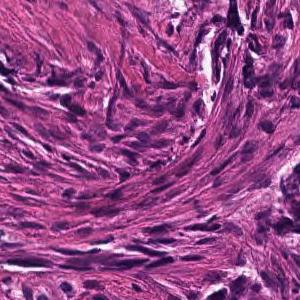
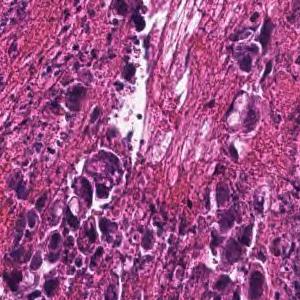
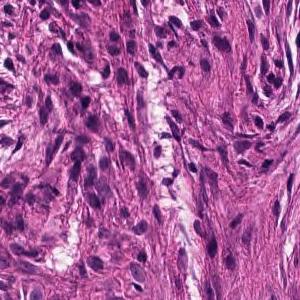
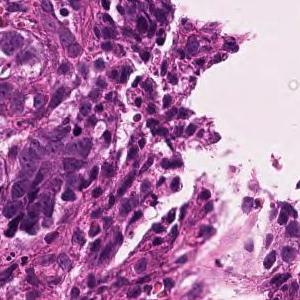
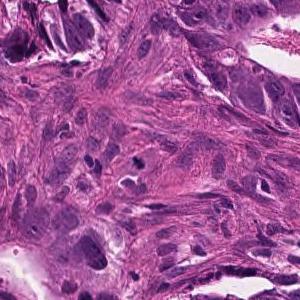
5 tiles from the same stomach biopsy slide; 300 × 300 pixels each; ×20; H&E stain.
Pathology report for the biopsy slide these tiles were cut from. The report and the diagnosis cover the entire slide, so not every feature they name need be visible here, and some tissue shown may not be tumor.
In the superficial epithelium, tumor tissue that invades by forming medium-sized to small, irregular ducts is observed. moderately differentiated tubular adenocarcinoma.
